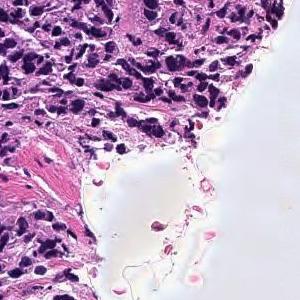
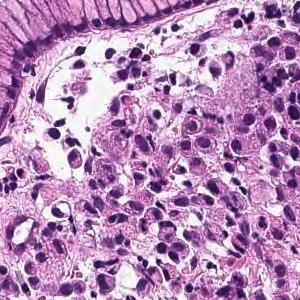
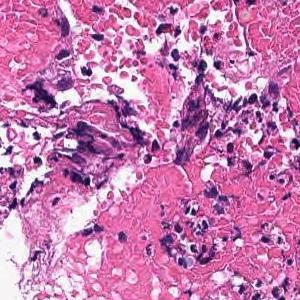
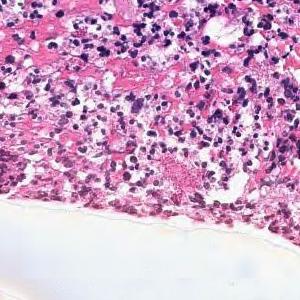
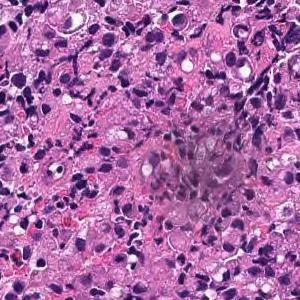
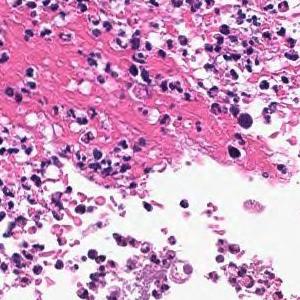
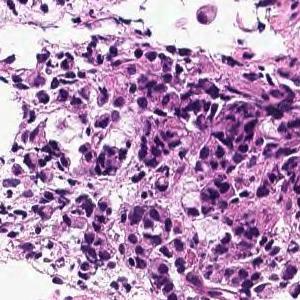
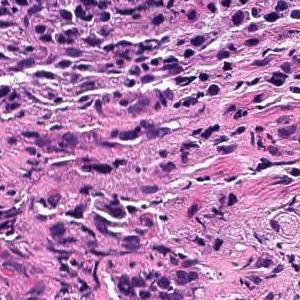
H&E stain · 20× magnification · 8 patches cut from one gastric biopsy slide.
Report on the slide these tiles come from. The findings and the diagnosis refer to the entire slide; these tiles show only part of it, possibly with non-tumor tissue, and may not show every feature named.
Tumor tissue consisting of diffusely infiltrated large atypical epithelial cells or signet ring atypical cells is observed in the superficial epithelium. Poorly differentiated adenocarcinoma, solid-type
Histological subtype: Poorly differentiated adenocarcinoma, solid type (Japanese Classification of Gastric Carcinoma). The WHO 2019 equivalent is tubular adenocarcinoma, poorly differentiated.
